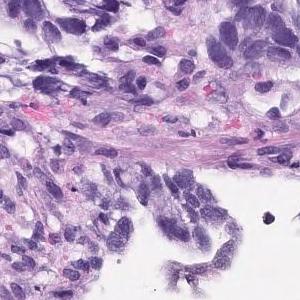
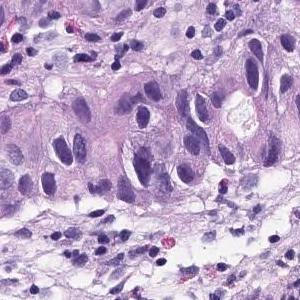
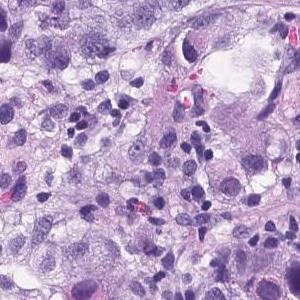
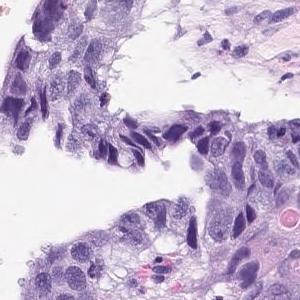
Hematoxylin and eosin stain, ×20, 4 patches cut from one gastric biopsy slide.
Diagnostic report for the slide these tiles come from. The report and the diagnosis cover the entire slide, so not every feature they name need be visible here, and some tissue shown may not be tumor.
In the superficial epithelium, tumor tissue that invades by forming medium-sized to small, irregular ducts is observed. Moderately differentiated adenocarcinoma.
Tumor subtype: moderately differentiated tubular adenocarcinoma.
